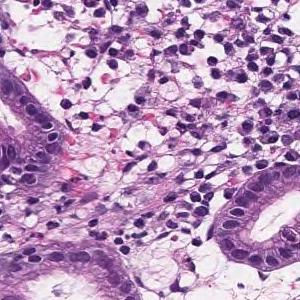
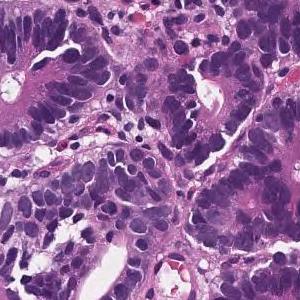
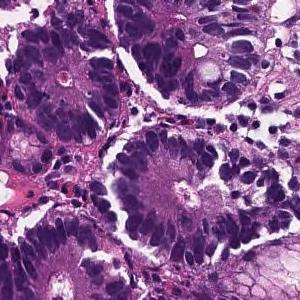
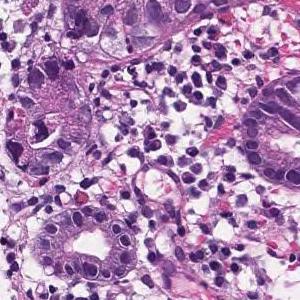
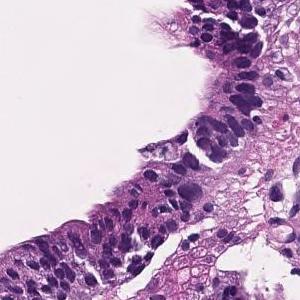
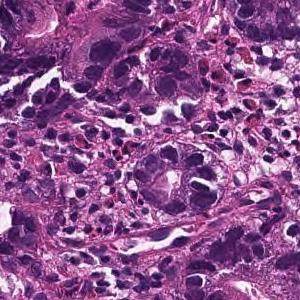
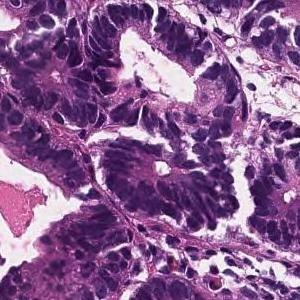
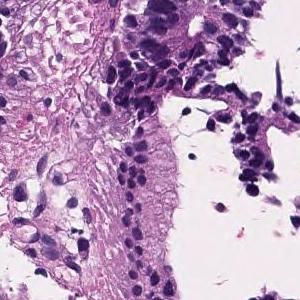
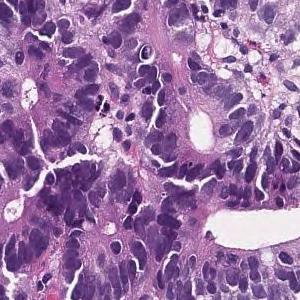
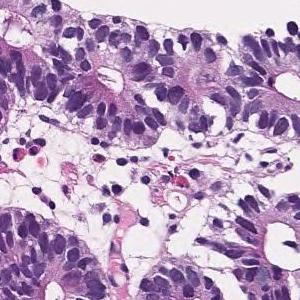
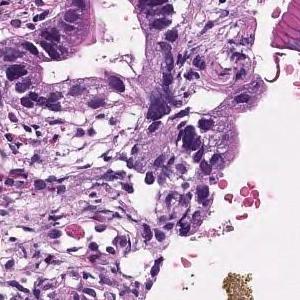
11 tiles from the same stomach biopsy slide, 300 × 300 pixels each, ×20, H&E.
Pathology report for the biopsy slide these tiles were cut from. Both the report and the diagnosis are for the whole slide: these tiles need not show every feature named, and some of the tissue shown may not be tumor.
On the superficial epithelium, tumor tissue consisting of large, irregular glandular ducts partially fused and infiltrated is observed. Well to moderately differentiated tubular adenocarcinoma (well differentiated tubular adenocarcinoma, moderately differentiated tubular adenocarcinoma)
Tumor subtype: well to moderately differentiated tubular adenocarcinoma.
